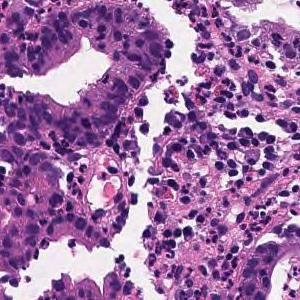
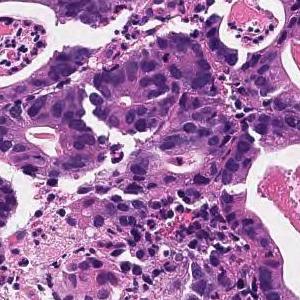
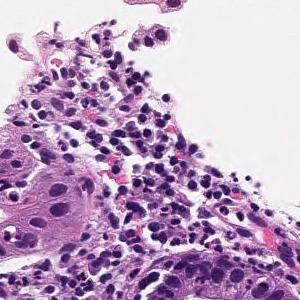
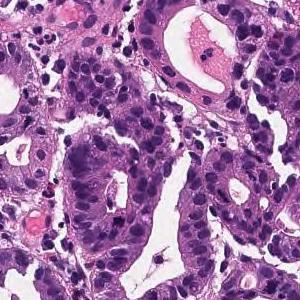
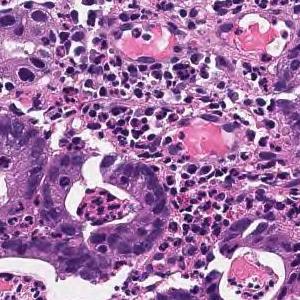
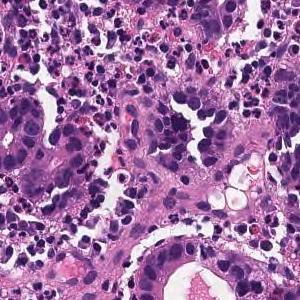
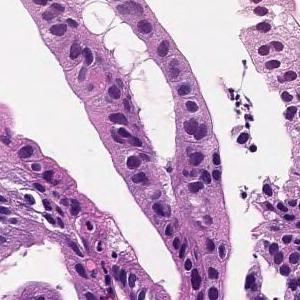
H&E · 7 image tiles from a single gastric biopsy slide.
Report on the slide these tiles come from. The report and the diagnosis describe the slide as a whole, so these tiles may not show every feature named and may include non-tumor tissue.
In the superficial epithelium, tumor tissue that invades by forming medium-sized to small, irregular ducts is observed. moderately differentiated tubular adenocarcinoma.
